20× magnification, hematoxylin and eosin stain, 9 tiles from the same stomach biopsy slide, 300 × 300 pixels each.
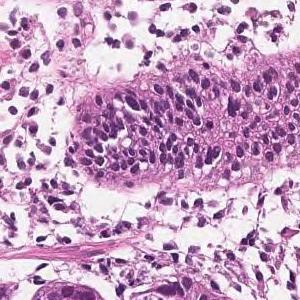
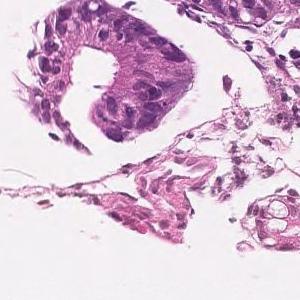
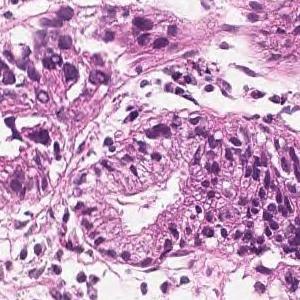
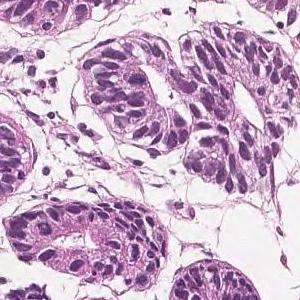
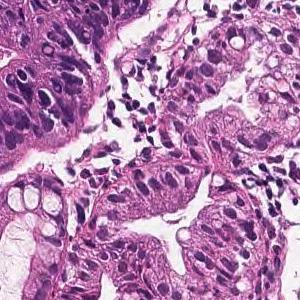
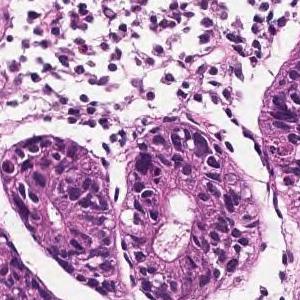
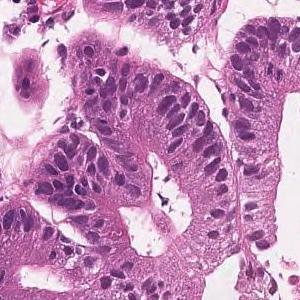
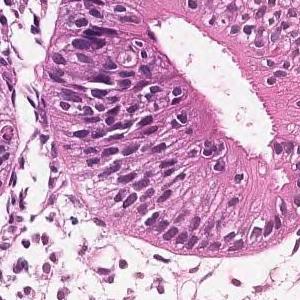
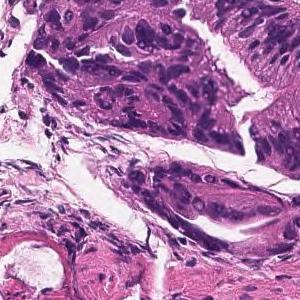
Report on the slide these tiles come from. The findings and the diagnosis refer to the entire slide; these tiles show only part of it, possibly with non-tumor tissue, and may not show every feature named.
In the superficial epithelium, tumor tissue that invades by forming medium-sized to small, irregular ducts is observed. Well differentiated tubular adenocarcinoma.
